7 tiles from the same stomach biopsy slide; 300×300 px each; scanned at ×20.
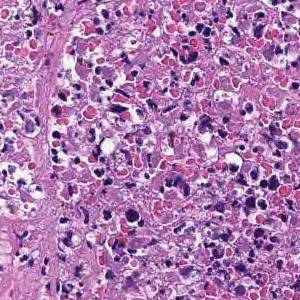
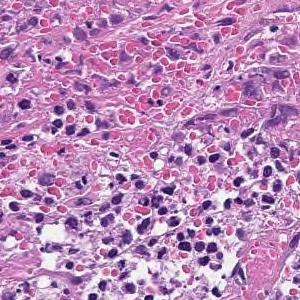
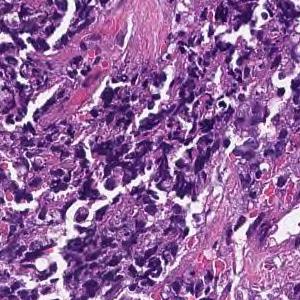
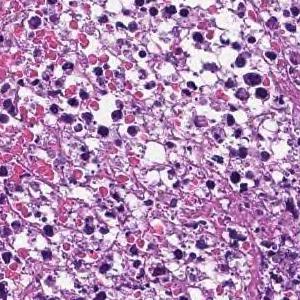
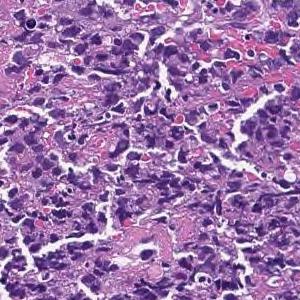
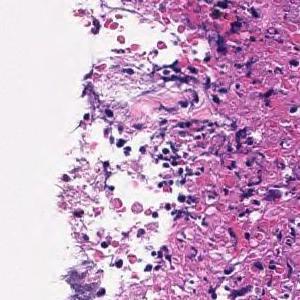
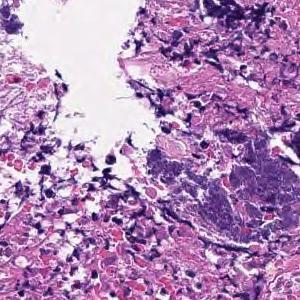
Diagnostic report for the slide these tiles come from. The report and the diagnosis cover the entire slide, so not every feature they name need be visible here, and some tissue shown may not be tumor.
Most are composed of coagulative necrotic tissue, but some show a large sheet-like shape, and some show tumor tissue infiltrating with a small cord-like structure. Poorly differentiated adenocarcinoma, solid-type
Histologic type: Poorly differentiated adenocarcinoma, solid type, a category of the Japanese Classification of Gastric Carcinoma; in the WHO 2019 classification it is tubular adenocarcinoma, poorly differentiated.
